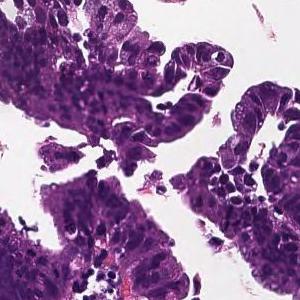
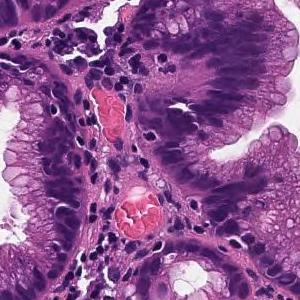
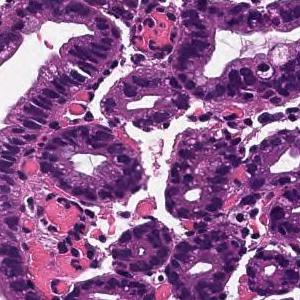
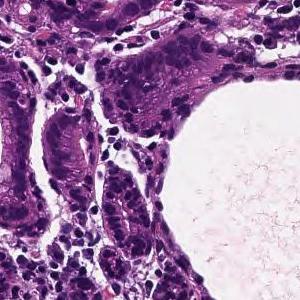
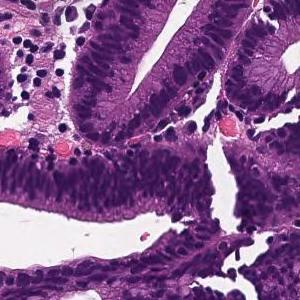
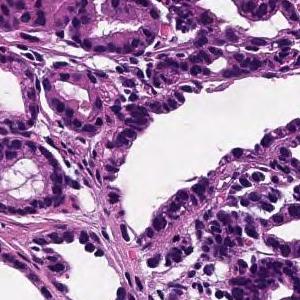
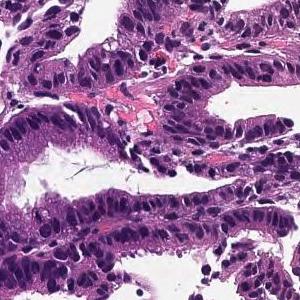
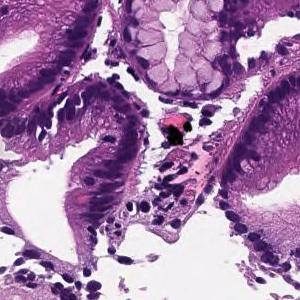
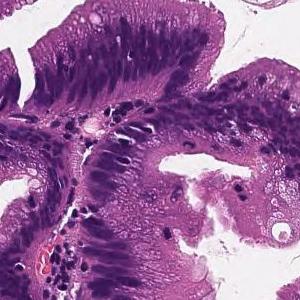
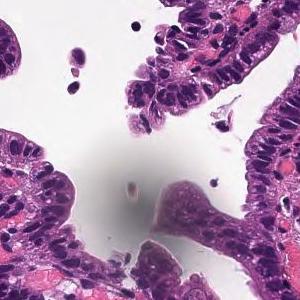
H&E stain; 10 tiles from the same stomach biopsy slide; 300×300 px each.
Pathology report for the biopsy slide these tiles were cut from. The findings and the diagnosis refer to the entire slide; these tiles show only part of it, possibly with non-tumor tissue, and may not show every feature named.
Cells with elliptical or atypical nuclei form dense ducts with relatively clear growth. Well differentiated tubular adenocarcinoma
